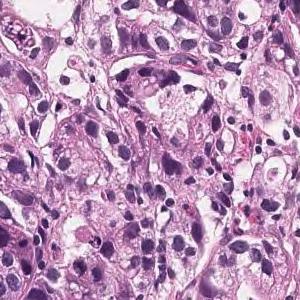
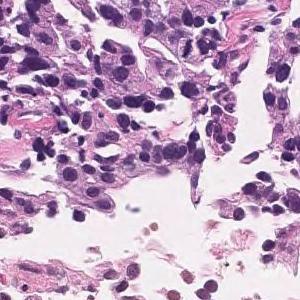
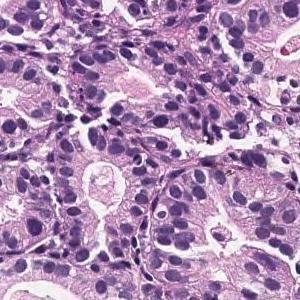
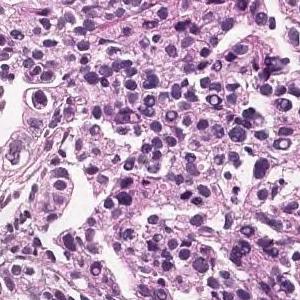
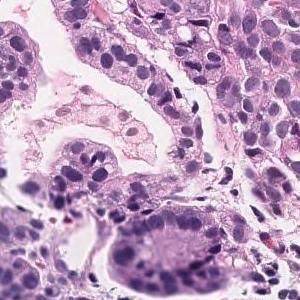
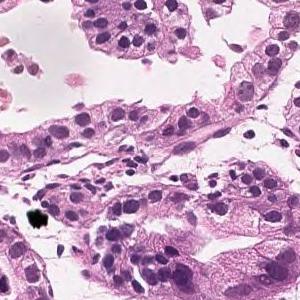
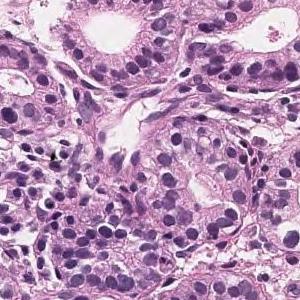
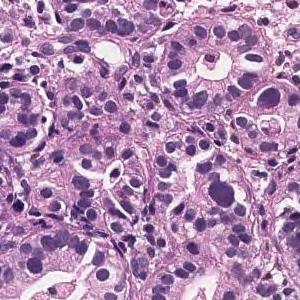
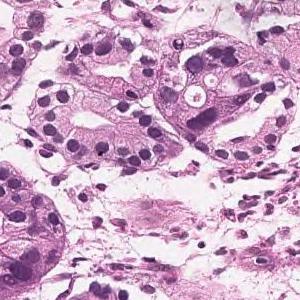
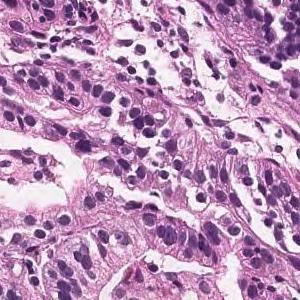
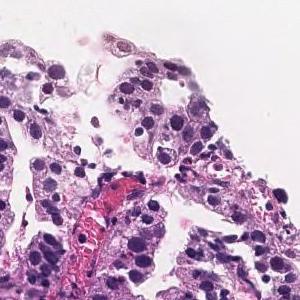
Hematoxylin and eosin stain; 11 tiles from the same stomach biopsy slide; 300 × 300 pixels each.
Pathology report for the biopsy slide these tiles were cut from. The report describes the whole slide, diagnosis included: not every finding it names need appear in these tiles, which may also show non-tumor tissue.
In the superficial epithelium, tumor tissue that invades by forming medium-sized to small, irregular ducts is observed. moderately differentiated tubular adenocarcinoma.
